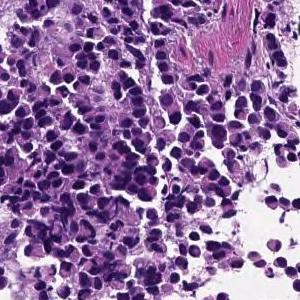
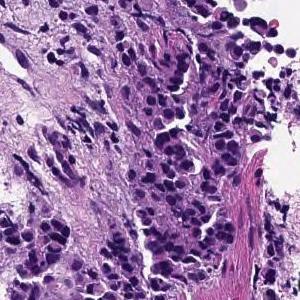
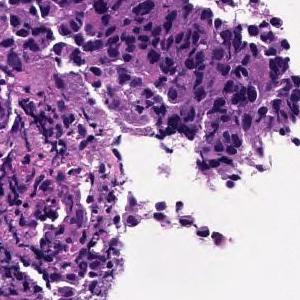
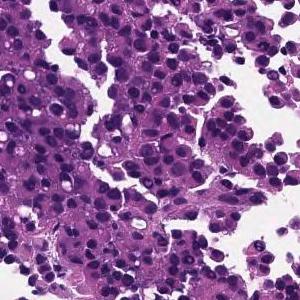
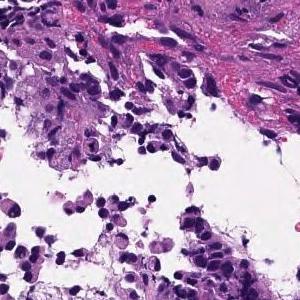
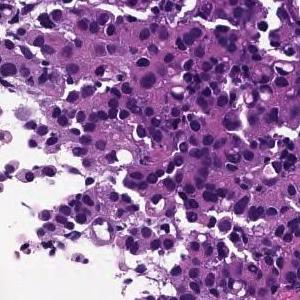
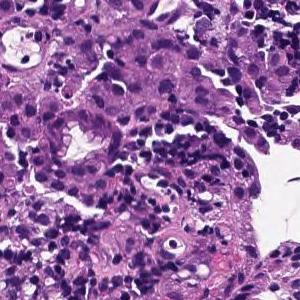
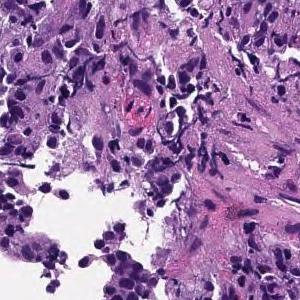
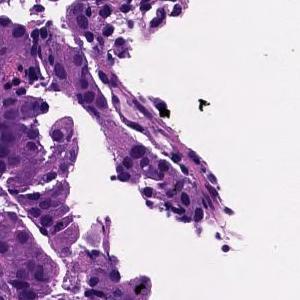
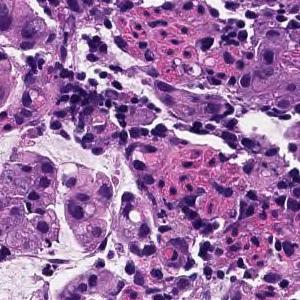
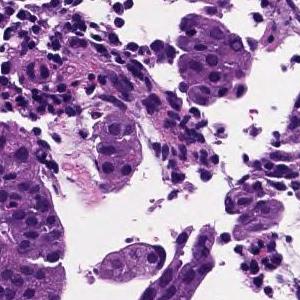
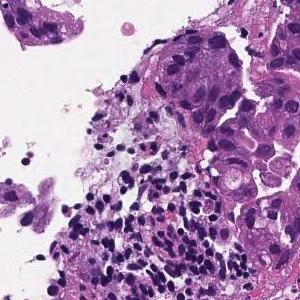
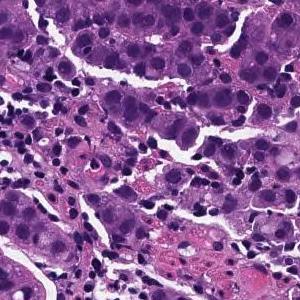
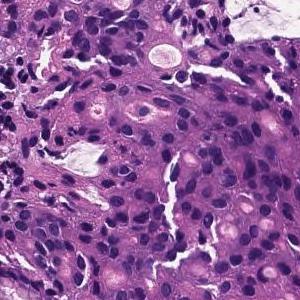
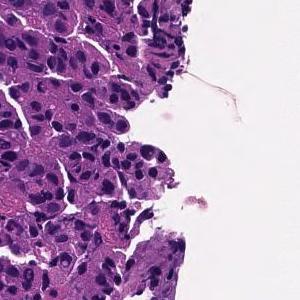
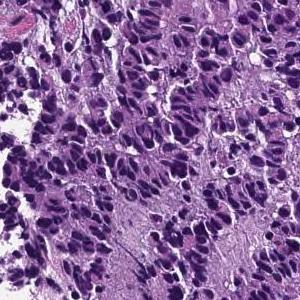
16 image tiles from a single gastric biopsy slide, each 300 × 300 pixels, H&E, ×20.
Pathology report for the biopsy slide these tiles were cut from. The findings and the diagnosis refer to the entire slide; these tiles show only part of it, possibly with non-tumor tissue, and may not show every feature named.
The superficial epithelium shows a large sheet-like shape, and some tumor tissue infiltrates with small irregular ducts. Poorly differentiated adenocarcinoma, solid-type
Histologic type: Poorly differentiated adenocarcinoma, solid type. This name comes from the Japanese Classification of Gastric Carcinoma; the WHO 2019 classification calls it tubular adenocarcinoma, poorly differentiated.
